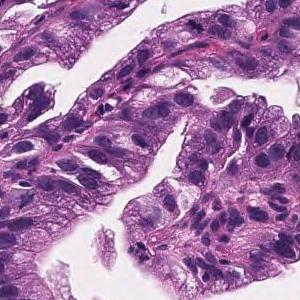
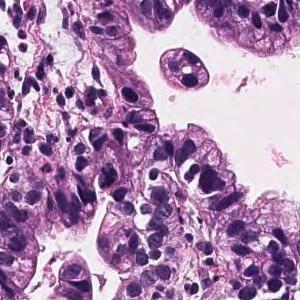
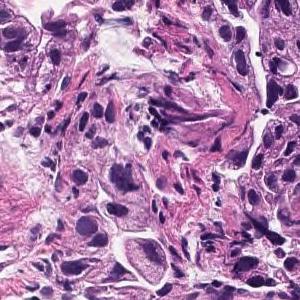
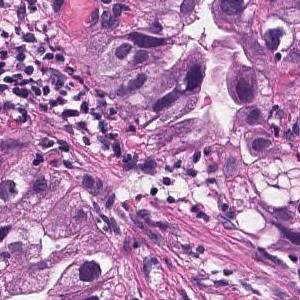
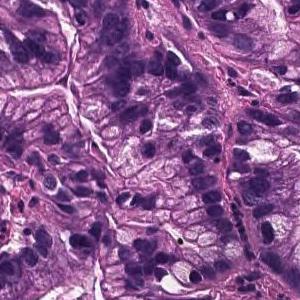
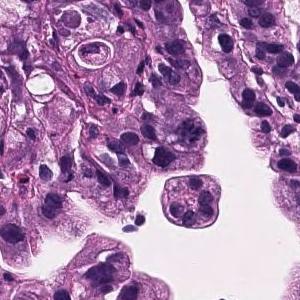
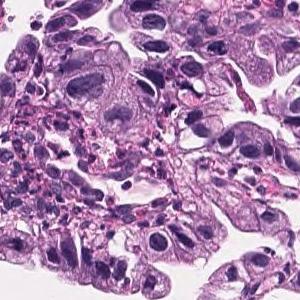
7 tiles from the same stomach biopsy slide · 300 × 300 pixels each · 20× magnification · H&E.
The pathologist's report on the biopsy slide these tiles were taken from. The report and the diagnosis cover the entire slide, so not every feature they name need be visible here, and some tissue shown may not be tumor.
Tumor cells are large, highly columnar, large club-shaped nuclei, and are associated with chromatin aggregation. Papillary adenocarcinoma.
